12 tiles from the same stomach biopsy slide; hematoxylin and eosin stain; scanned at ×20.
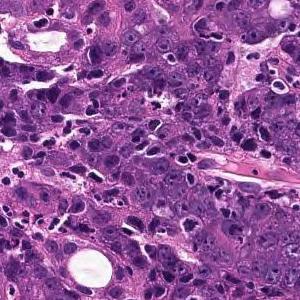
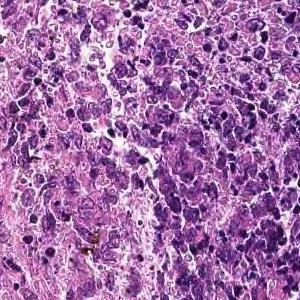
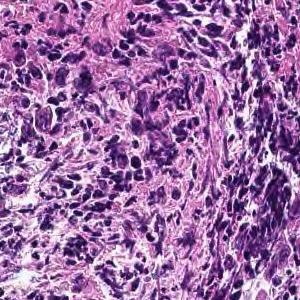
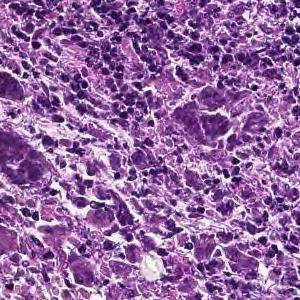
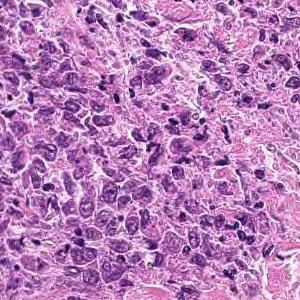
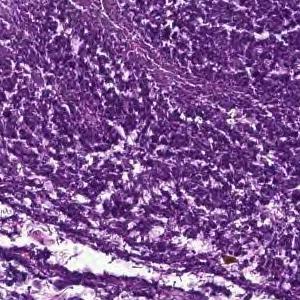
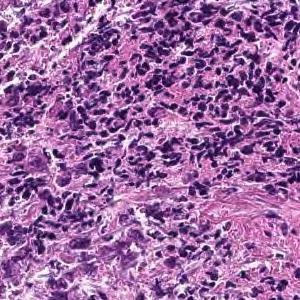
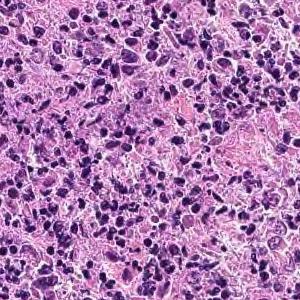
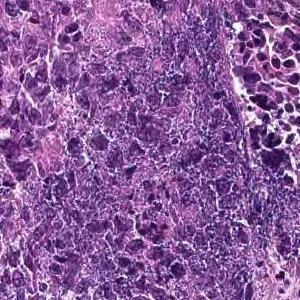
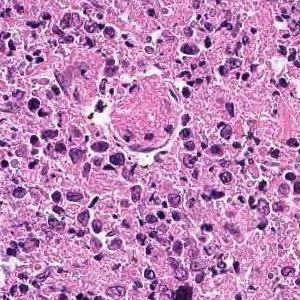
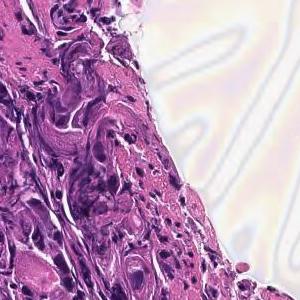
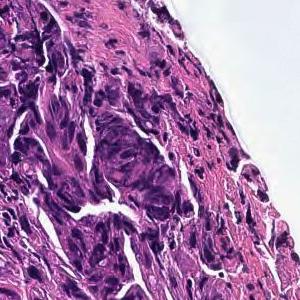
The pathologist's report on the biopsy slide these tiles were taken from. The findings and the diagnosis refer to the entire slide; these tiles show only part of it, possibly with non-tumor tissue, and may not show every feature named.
Cancers with polygonal nuclei do not show glandular formation and are densely, in part, cord-like and proliferate. Poorly differentiated adenocarcinoma
Tumor subtype: poorly differentiated adenocarcinoma, non-solid type.
"Non-solid type" is a category of the Japanese Classification of Gastric Carcinoma.
